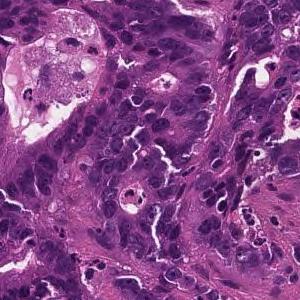
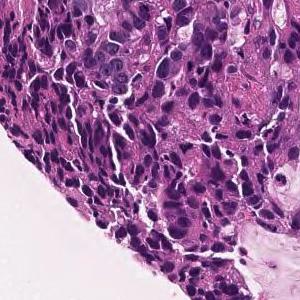
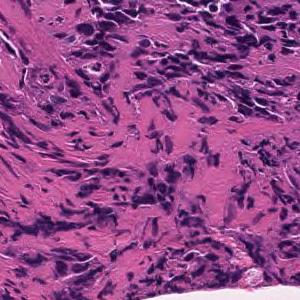
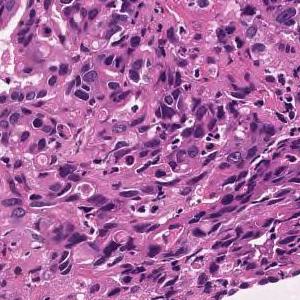
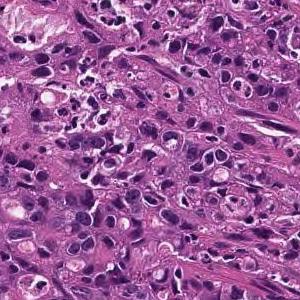
5 patches cut from one gastric biopsy slide · each 300 × 300 pixels · H&E.
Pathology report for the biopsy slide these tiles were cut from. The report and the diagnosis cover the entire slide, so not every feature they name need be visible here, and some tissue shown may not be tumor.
In the superficial epithelium, tumor tissue that invades by forming medium-sized to small, irregular ducts is observed. moderately differentiated tubular adenocarcinoma.
